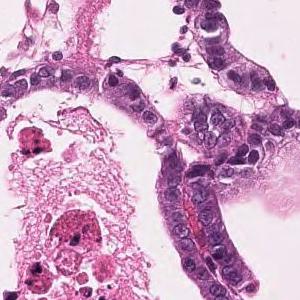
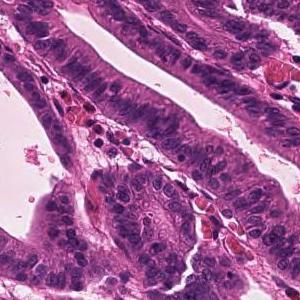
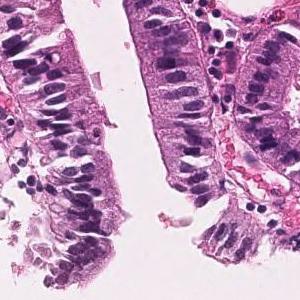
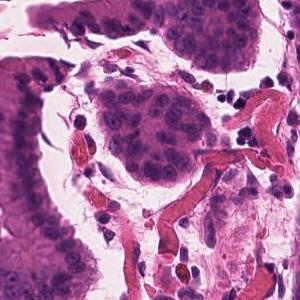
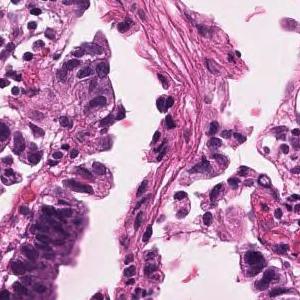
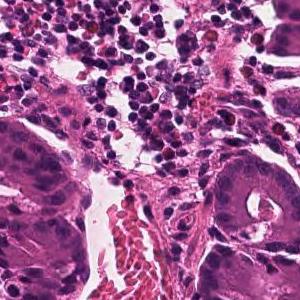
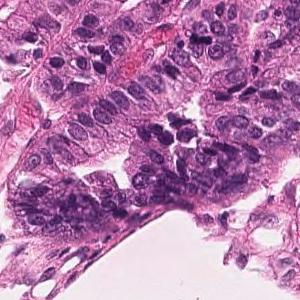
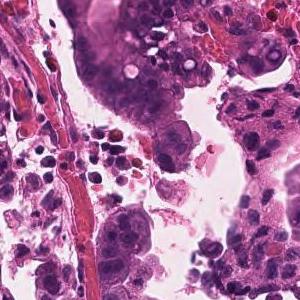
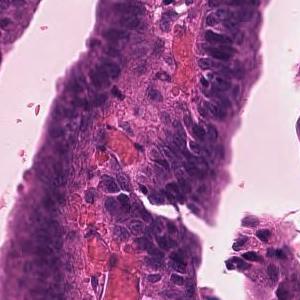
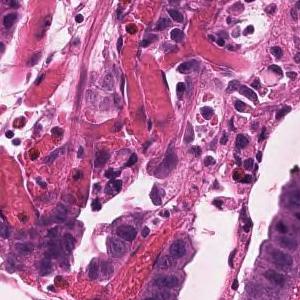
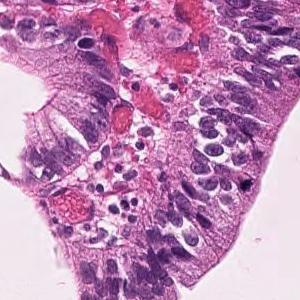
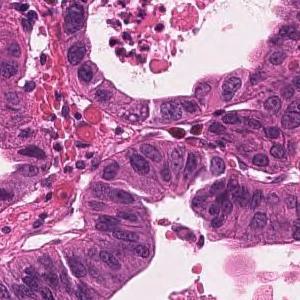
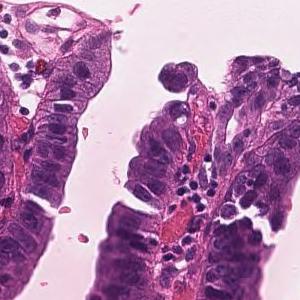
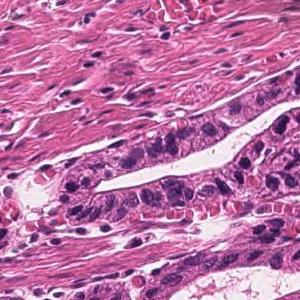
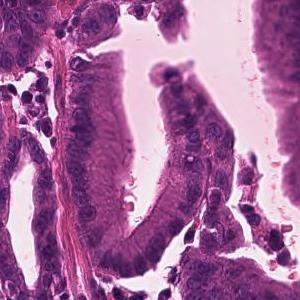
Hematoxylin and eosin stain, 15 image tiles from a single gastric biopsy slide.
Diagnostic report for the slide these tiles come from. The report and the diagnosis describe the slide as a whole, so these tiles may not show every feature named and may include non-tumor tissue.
Infiltrating tumor tissue with medium-sized, irregular ductal structure or large papillary appearance is observed. Well differentiated tubular adenocarcinoma
